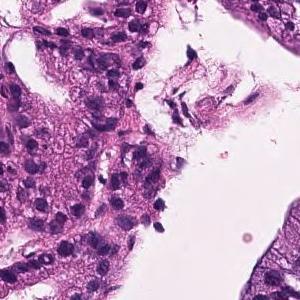
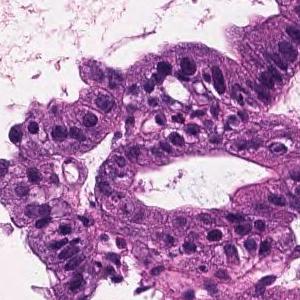
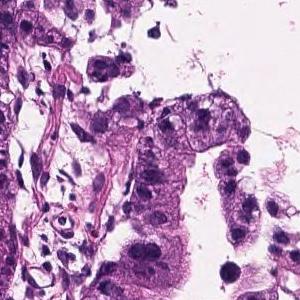
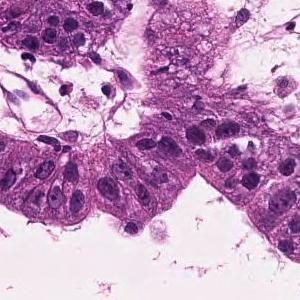
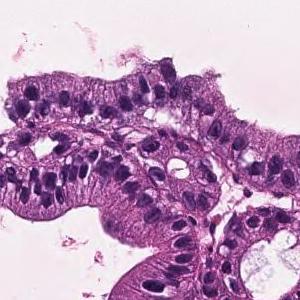
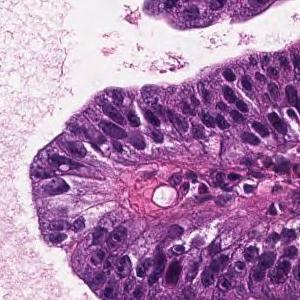
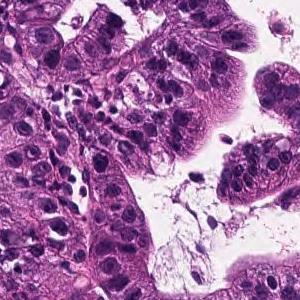
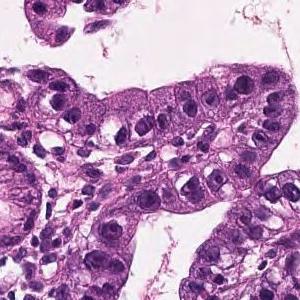
Hematoxylin and eosin stain, 20× magnification, 8 tiles cut from one stomach biopsy slide.
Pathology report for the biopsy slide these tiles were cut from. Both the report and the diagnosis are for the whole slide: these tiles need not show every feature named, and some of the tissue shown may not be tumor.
On the superficial epithelium, tumor tissue that infiltrates by forming medium-sized papillary or small irregular ducts is observed. Papillary adenocarcinoma
